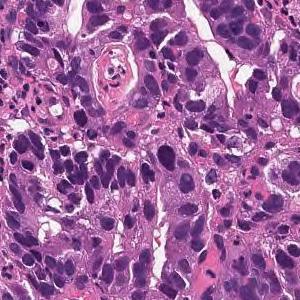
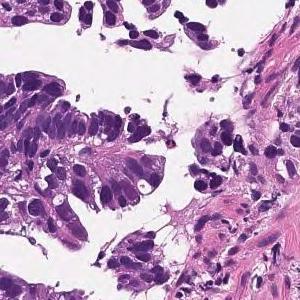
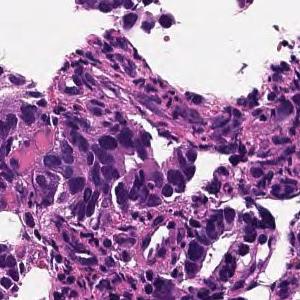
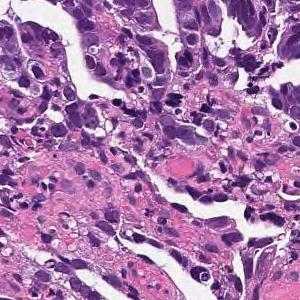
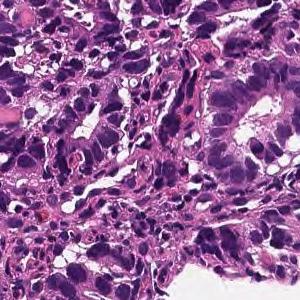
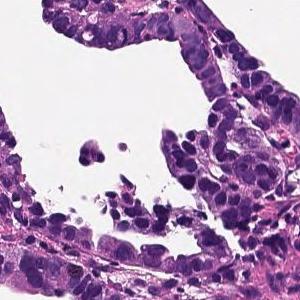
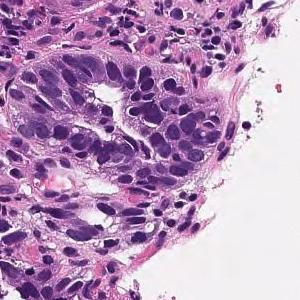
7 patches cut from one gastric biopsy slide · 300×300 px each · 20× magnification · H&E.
Report on the slide these tiles come from. Both the report and the diagnosis are for the whole slide: these tiles need not show every feature named, and some of the tissue shown may not be tumor.
Tumor cells are large, highly columnar, large club-shaped nuclei, and are associated with chromatin aggregation. Papillary adenocarcinoma.
